H&E stain; 15 image tiles from a single gastric biopsy slide; each 300 × 300 pixels.
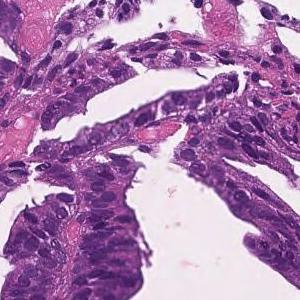
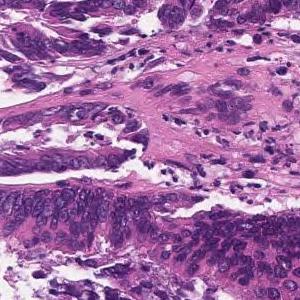
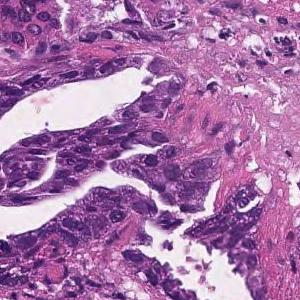
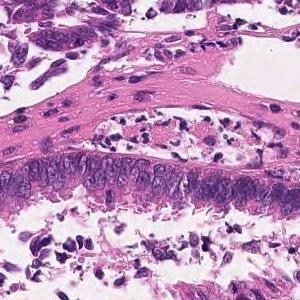
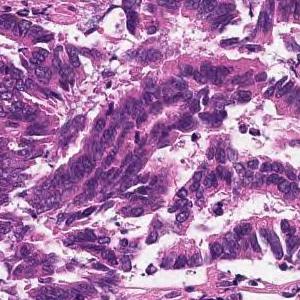
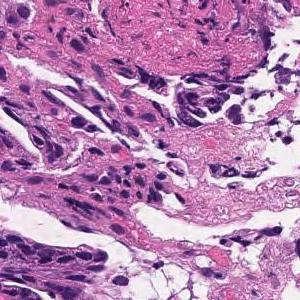
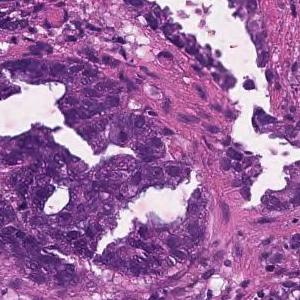
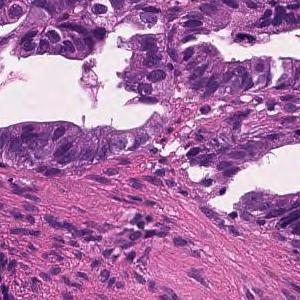
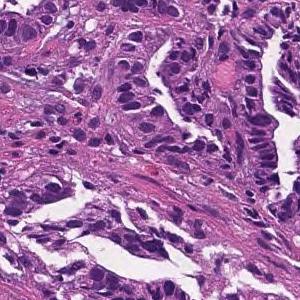
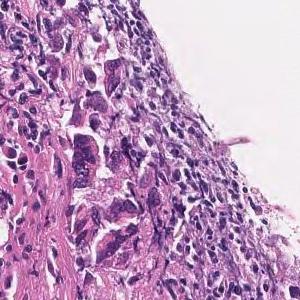
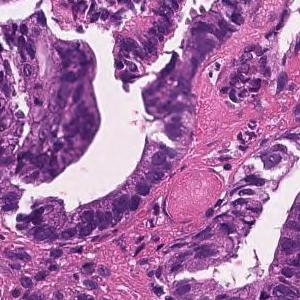
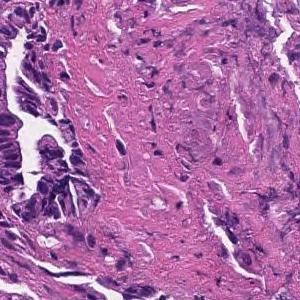
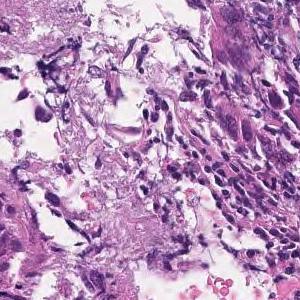
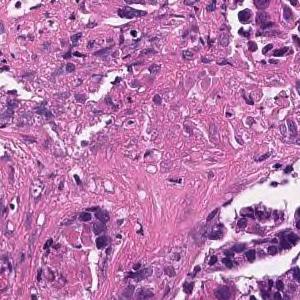
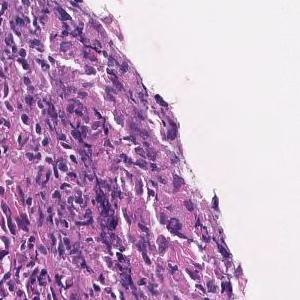
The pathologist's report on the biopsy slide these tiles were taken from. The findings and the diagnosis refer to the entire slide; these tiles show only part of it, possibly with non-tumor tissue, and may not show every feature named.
On the superficial epithelium, tumor tissue consisting of large, irregular glandular ducts partially fused and infiltrated is observed. Well to moderately differentiated tubular adenocarcinoma (well differentiated tubular adenocarcinoma, moderately differentiated tubular adenocarcinoma)
Classified as well to moderately differentiated tubular adenocarcinoma.
